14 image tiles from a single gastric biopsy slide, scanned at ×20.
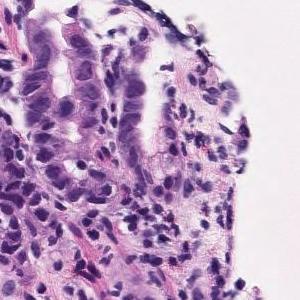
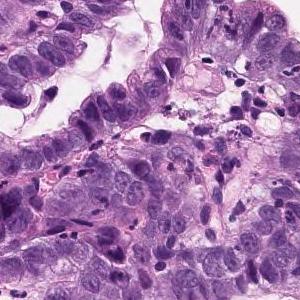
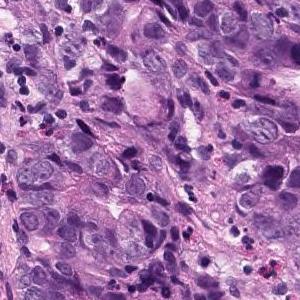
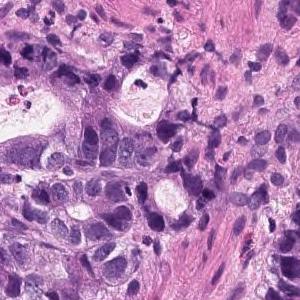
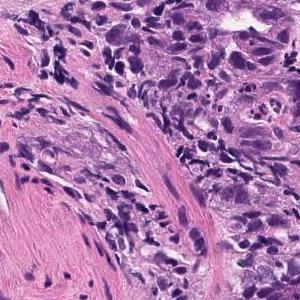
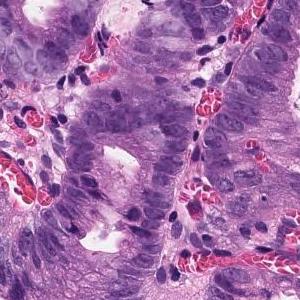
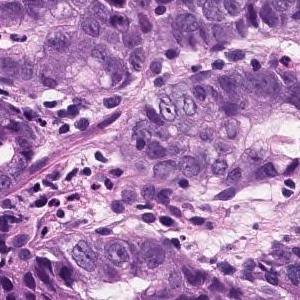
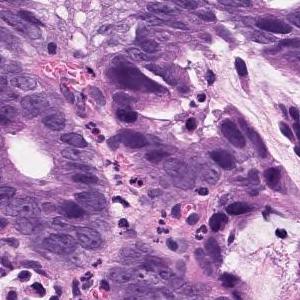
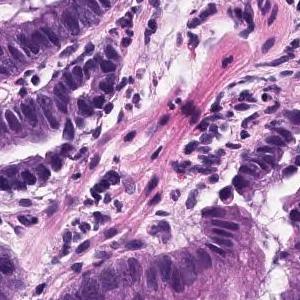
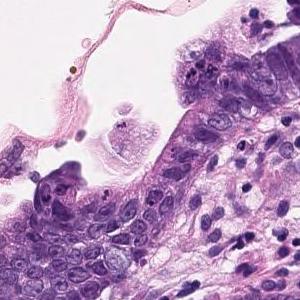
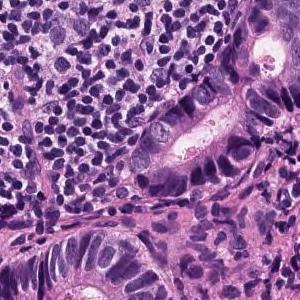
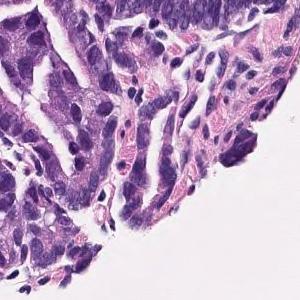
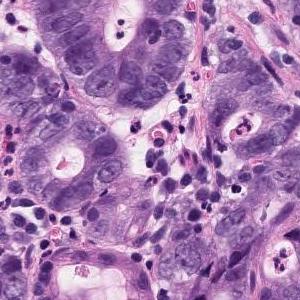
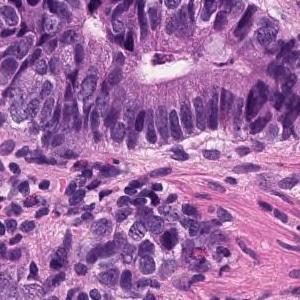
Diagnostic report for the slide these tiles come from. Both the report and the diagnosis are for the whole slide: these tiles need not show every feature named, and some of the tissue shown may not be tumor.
The swollen atypical epithelium of the nucleus forms an irregular ductal structure and proliferates. moderately differentiated tubular adenocarcinoma
